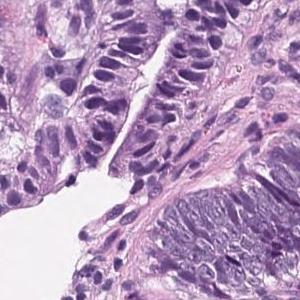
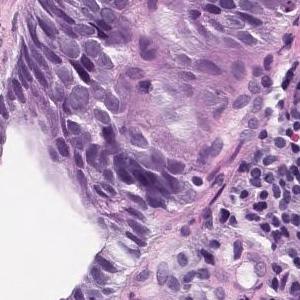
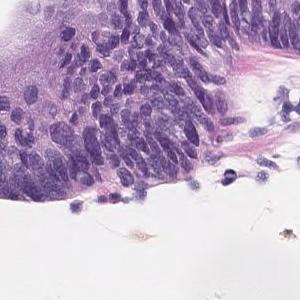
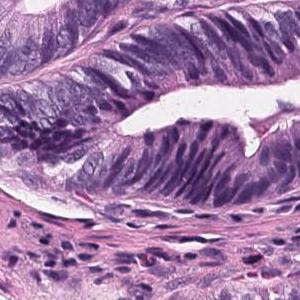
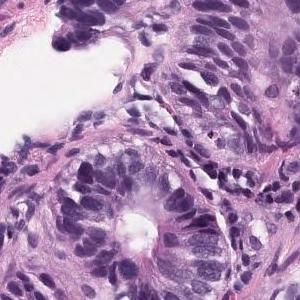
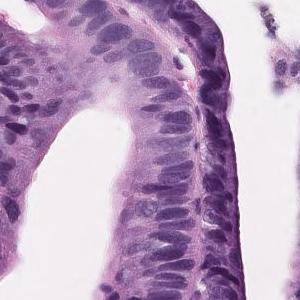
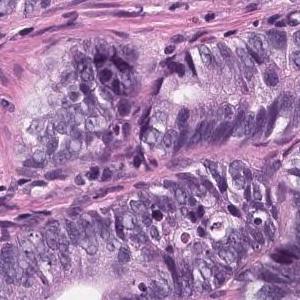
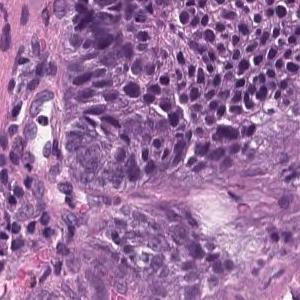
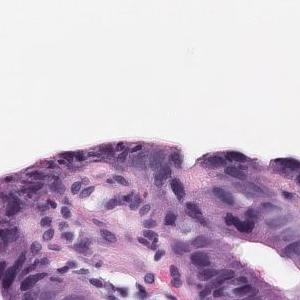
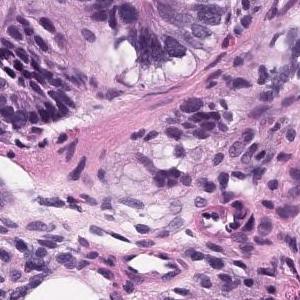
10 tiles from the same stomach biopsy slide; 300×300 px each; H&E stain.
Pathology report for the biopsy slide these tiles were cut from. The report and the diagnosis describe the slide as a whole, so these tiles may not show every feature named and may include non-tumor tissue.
Tumor tissue consisting of medium-sized and irregular ducts is observed infiltrating in the superficial epithelium. Tumor cells are highly columnar, with nuclei aligned basolaterally and polarized. Well differentiated tubular adenocarcinoma.
